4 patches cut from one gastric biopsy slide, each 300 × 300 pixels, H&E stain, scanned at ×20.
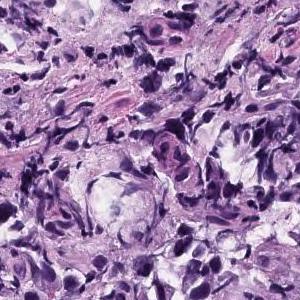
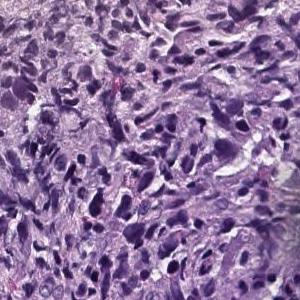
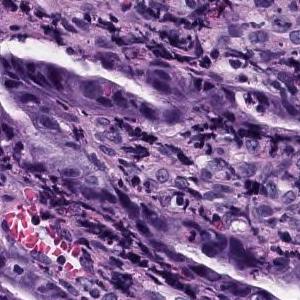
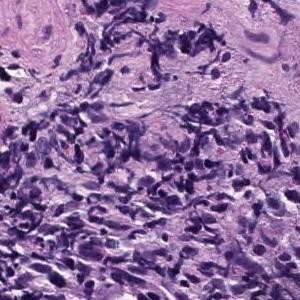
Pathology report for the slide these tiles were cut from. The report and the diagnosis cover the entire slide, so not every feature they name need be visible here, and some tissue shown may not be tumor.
Atypical epithelial cells infiltrating and proliferating while forming solid or cord-like fused glandular cavities of different sizes is observed. moderately differentiated tubular adenocarcinoma, poorly differentiated adenocarcinoma.
Histological subtype: Moderately to poorly differentiated adenocarcinoma.
